9 tiles cut from one stomach biopsy slide; 20× magnification; H&E.
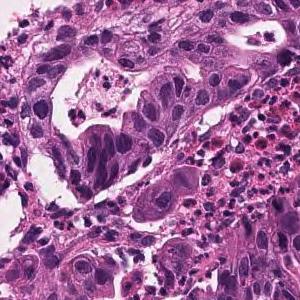
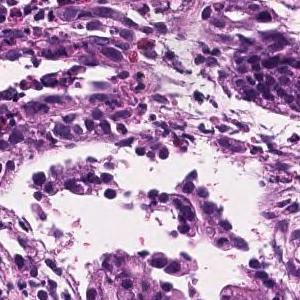
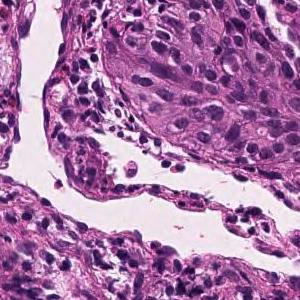
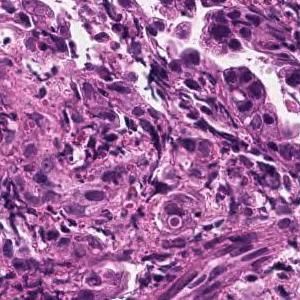
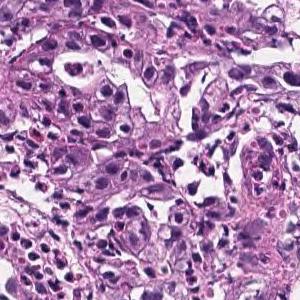
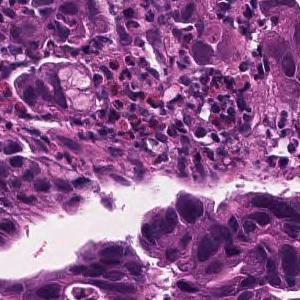
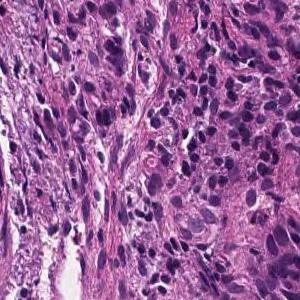
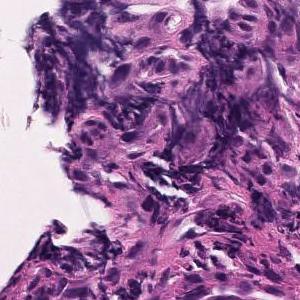
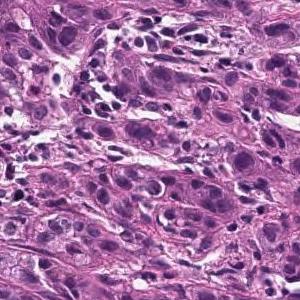
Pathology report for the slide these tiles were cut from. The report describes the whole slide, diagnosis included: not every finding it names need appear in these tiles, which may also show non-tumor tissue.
Tumor tissue consisting of medium-sized, cord-like or irregular glandular infiltration is observed in the superficial epithelium. Poorly differentiated adenocarcinoma, non-solid type or moderately differentiated tubular adenocarcinoma
The non-solid type named here is a Japanese Classification of Gastric Carcinoma category.
